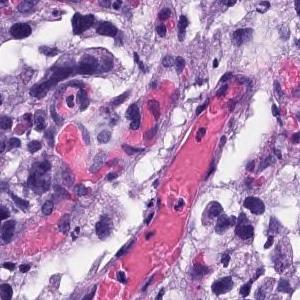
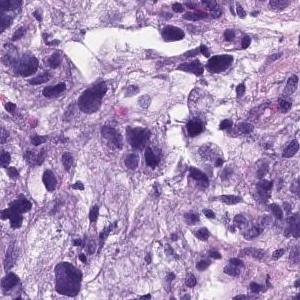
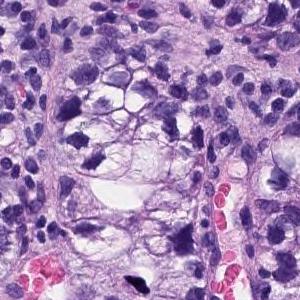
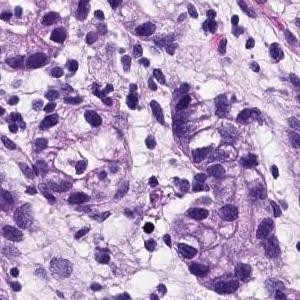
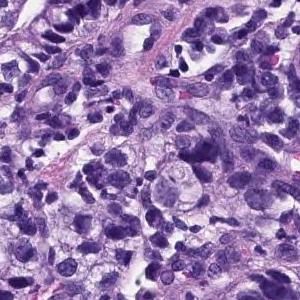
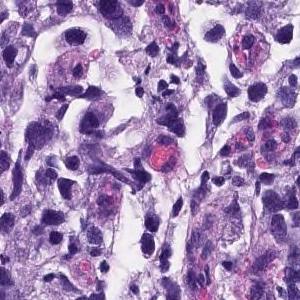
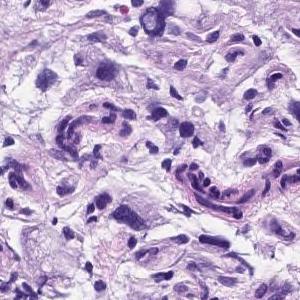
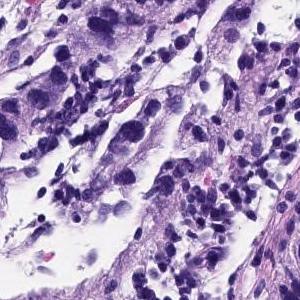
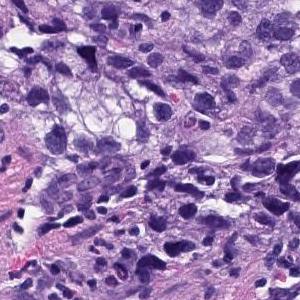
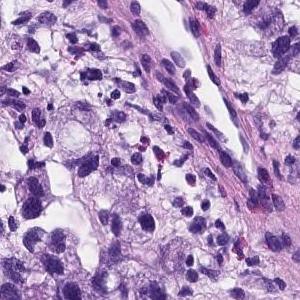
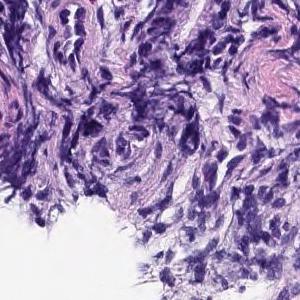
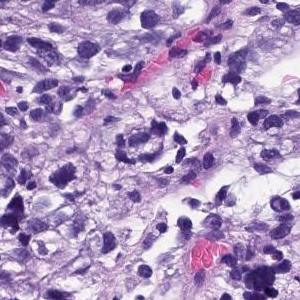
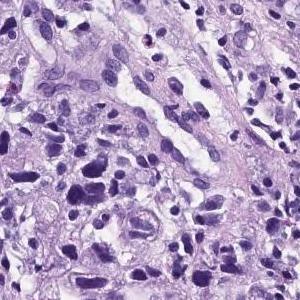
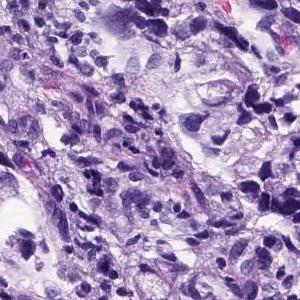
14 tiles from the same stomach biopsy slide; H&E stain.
Pathology report for the slide these tiles were cut from. The report and the diagnosis describe the slide as a whole, so these tiles may not show every feature named and may include non-tumor tissue.
Medium to small, irregular glandular ducts are formed in the superficial epithelium, and in some cases, the glandular ducts are fused to show solid alveolar lesions and infiltrating tumor tissue is observed. Poorly differentiated adenocarcinoma, Moderately differentiated adenocarcinoma.
Dataset label: moderately differentiated tubular adenocarcinoma.
